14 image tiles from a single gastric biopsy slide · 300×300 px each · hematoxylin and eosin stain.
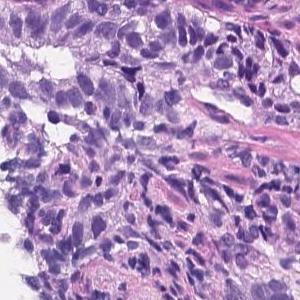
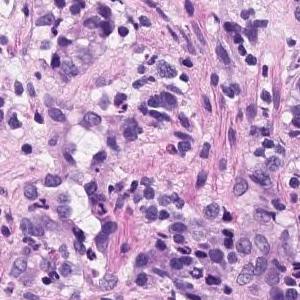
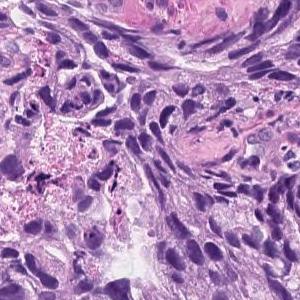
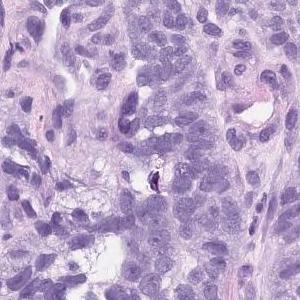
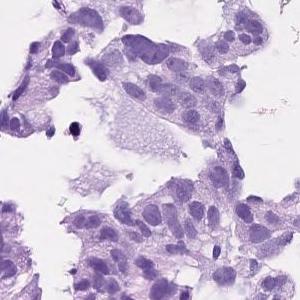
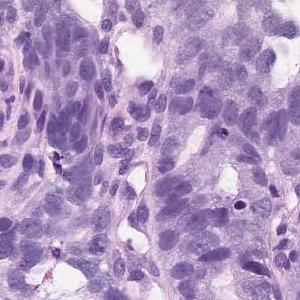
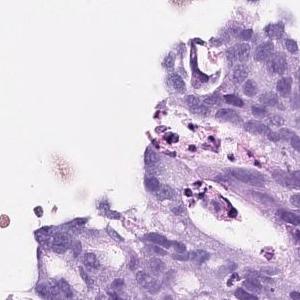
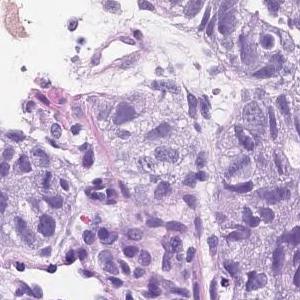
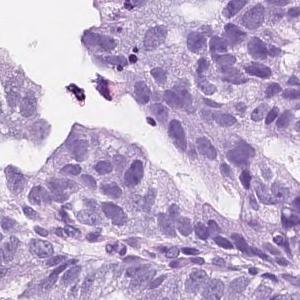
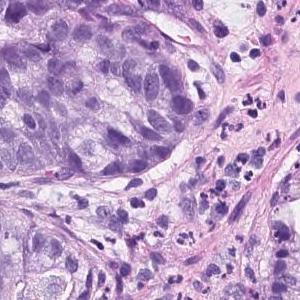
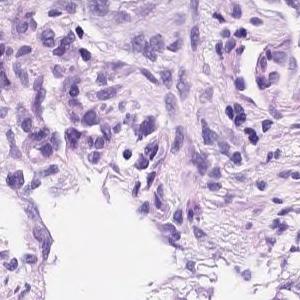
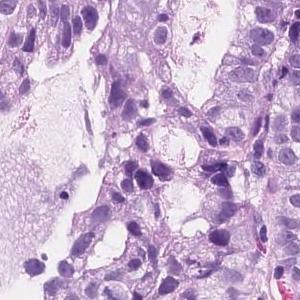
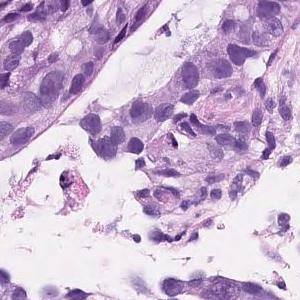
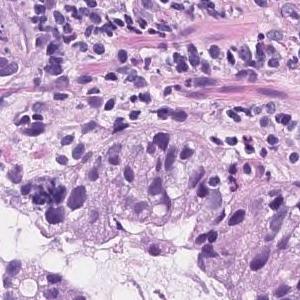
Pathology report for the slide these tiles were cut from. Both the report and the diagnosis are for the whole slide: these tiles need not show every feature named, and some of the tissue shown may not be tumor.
On the superficial epithelium, tumor tissue consisting of an image of large, irregular glandular ducts partially fused and infiltrated is observed. Well to moderately differentiated tubular adenocarcinoma
